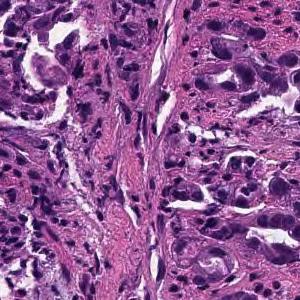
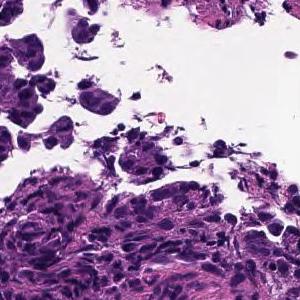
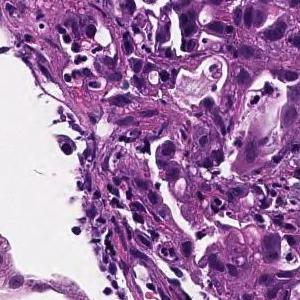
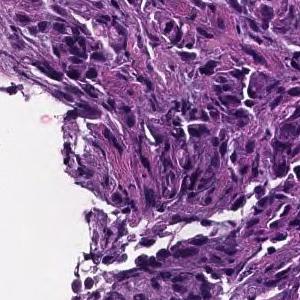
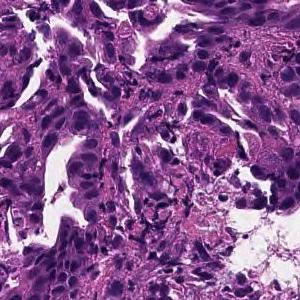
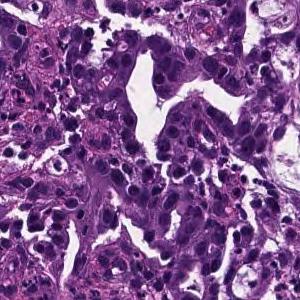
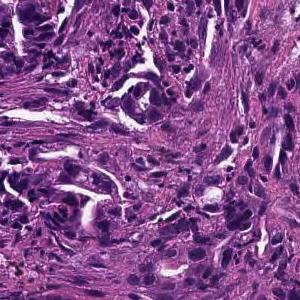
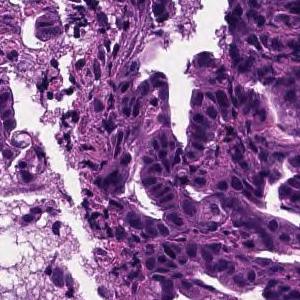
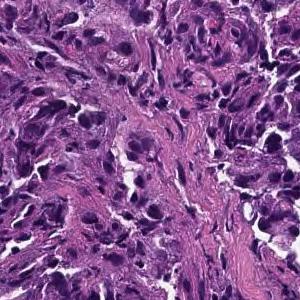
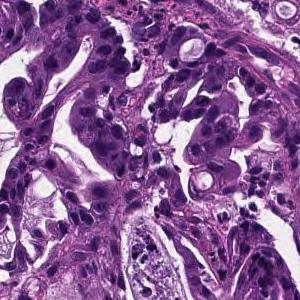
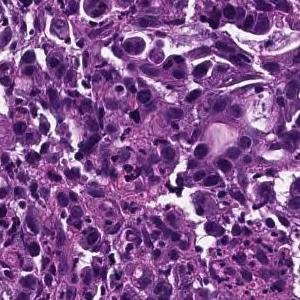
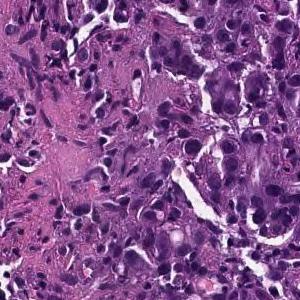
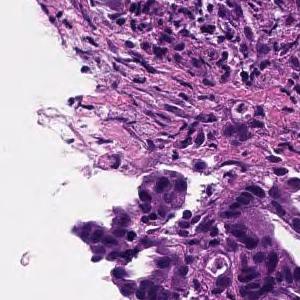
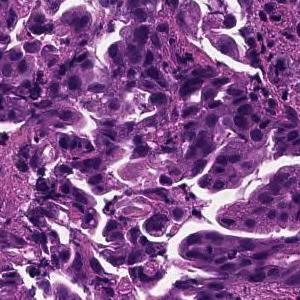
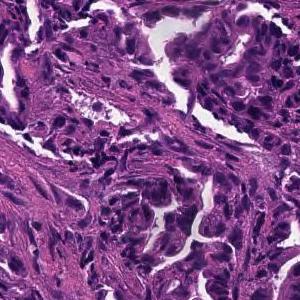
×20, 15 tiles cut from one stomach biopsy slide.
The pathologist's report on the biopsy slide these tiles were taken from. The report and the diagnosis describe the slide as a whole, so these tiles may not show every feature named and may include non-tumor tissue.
Tumor tissue consisting of medium-sized, cord-like or irregular glandular infiltration is observed in the superficial epithelium. Poorly differentiated adenocarcinoma, non-solid type or moderately differentiated tubular adenocarcinoma
Histological subtype: Moderately to poorly differentiated adenocarcinoma.
"Non-solid type" is a category of the Japanese Classification of Gastric Carcinoma.
